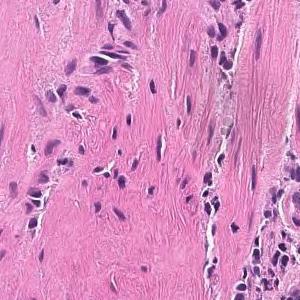
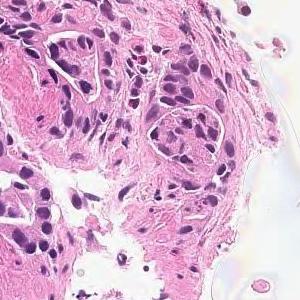
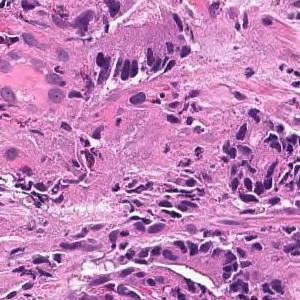
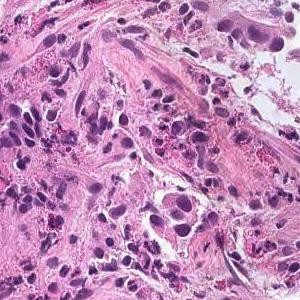
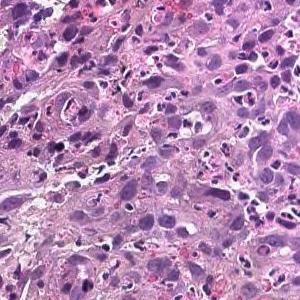
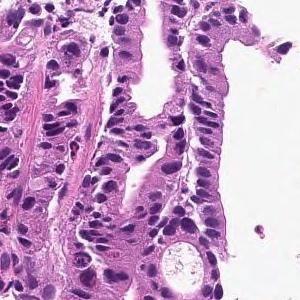
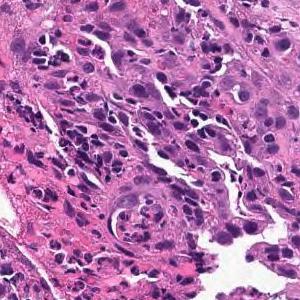
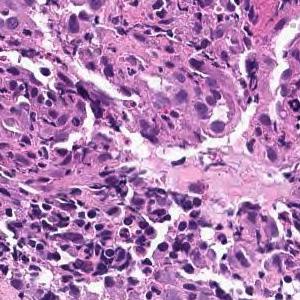
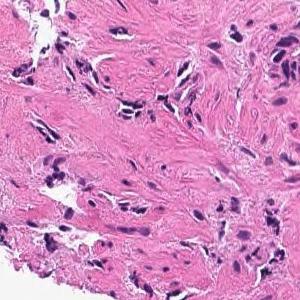
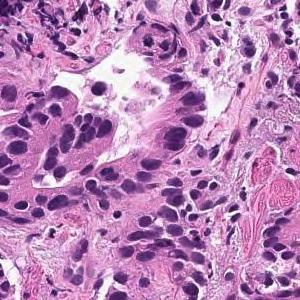
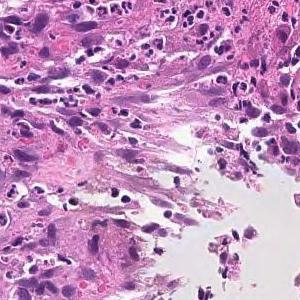
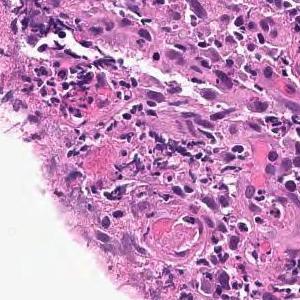
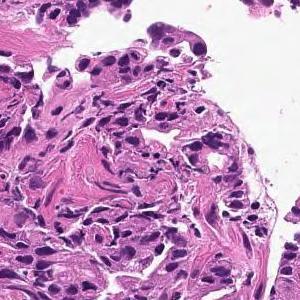
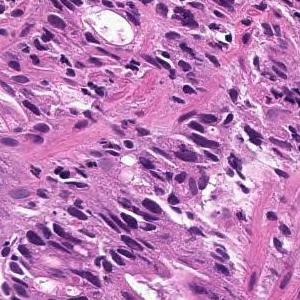
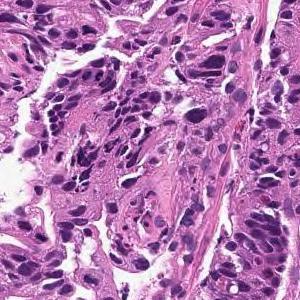
15 tiles cut from one stomach biopsy slide · 20× magnification · H&E.
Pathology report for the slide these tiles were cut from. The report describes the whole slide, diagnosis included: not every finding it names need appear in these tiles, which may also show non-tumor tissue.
On the superficial epithelium, tumor tissue consisting of large irregular glandular ducts partially fused and infiltrated is observed. Well to moderately differentiated tubular adenocarcinoma (well differentiated tubular adenocarcinoma, moderately differentiated tubular adenocarcinoma)
Histologic type: Well to moderately differentiated tubular adenocarcinoma.
